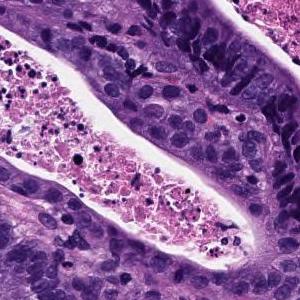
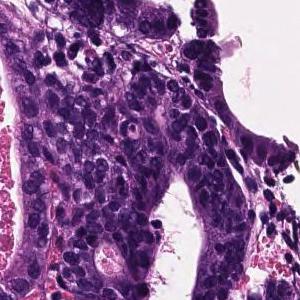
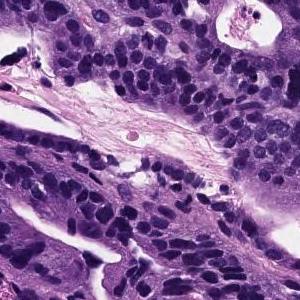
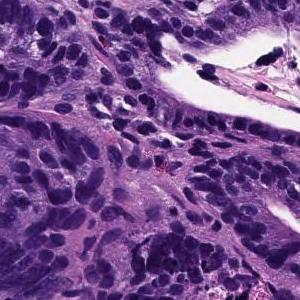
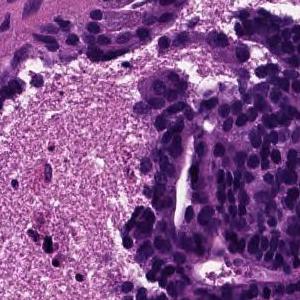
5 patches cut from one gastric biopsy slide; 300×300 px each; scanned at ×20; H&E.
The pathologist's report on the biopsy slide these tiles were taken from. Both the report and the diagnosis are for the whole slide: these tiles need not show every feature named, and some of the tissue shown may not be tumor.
From the superficial epithelium to the muscularis mucosae, tumor tissue consisting of medium-sized and irregular glandular ducts infiltrating is observed. Well differentiated tubular adenocarcinoma
